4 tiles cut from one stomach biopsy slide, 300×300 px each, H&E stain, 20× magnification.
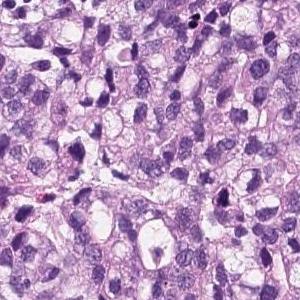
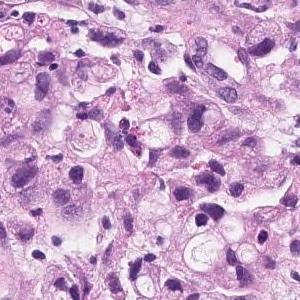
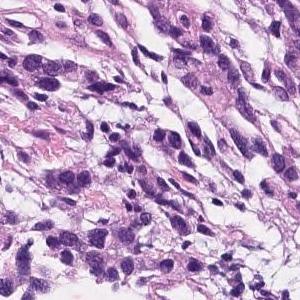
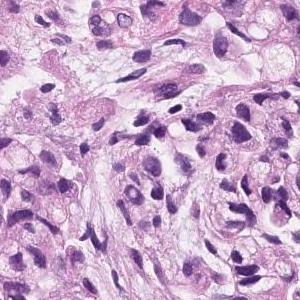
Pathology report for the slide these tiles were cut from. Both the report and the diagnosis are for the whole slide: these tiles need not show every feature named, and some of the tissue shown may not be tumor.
Group 5, Adenocarcinoma. Poorly differentiated adenocarcinoma, non-solid type
The non-solid type named here is a Japanese Classification of Gastric Carcinoma category.
